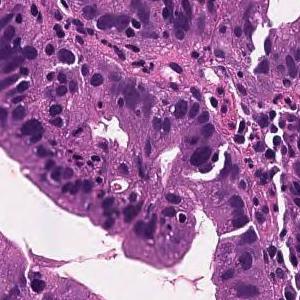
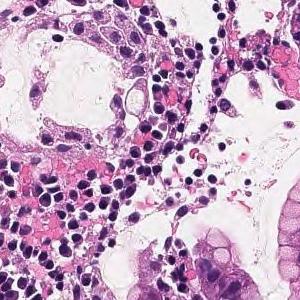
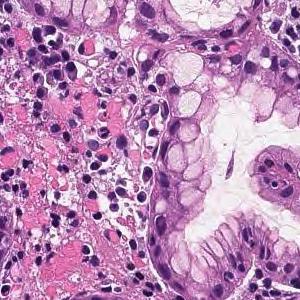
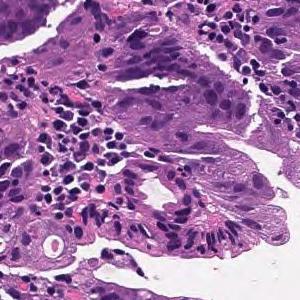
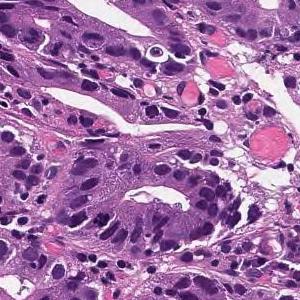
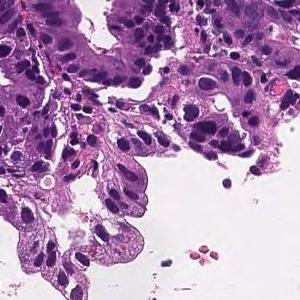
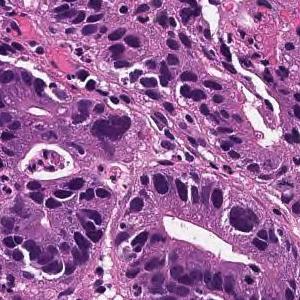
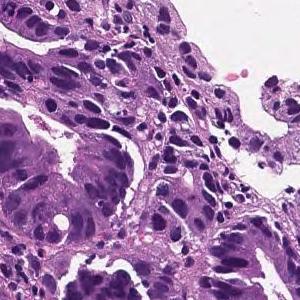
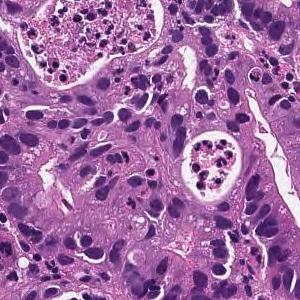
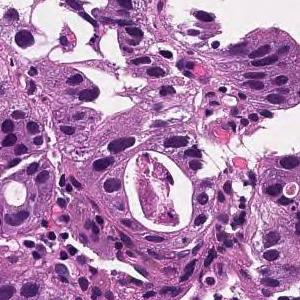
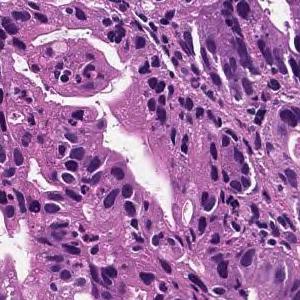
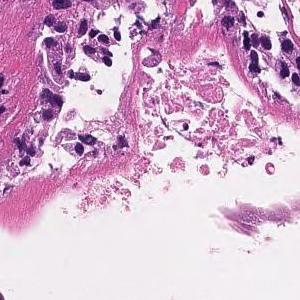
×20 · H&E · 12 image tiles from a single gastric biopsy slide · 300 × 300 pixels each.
Pathology report for the slide these tiles were cut from. What the report and the diagnosis say applies to the whole slide; these tiles may miss some of the features named and may include tissue that is not tumor.
From the superficial epithelium to the muscularis mucosae, tumor tissue consisting of medium-sized and irregular glandular ducts infiltrating is observed. Well differentiated tubular adenocarcinoma
